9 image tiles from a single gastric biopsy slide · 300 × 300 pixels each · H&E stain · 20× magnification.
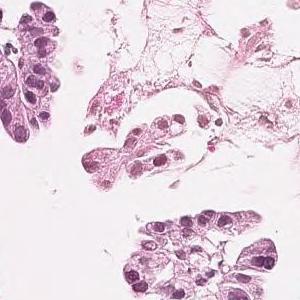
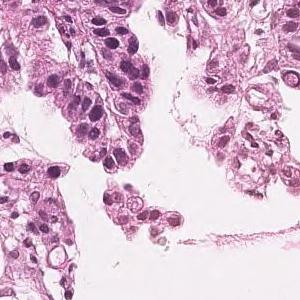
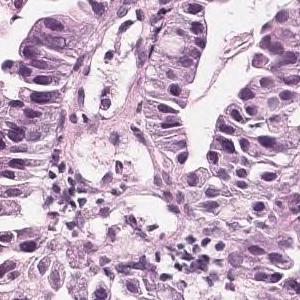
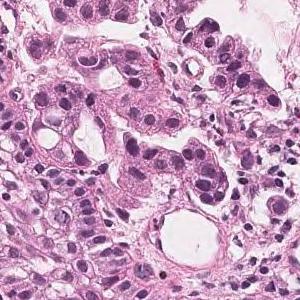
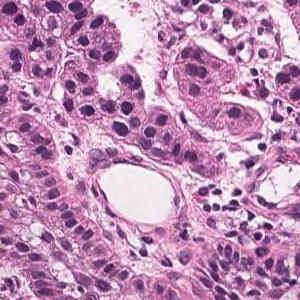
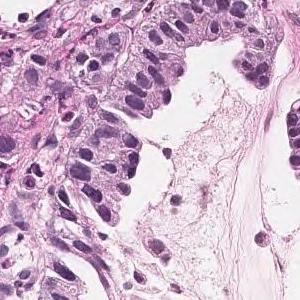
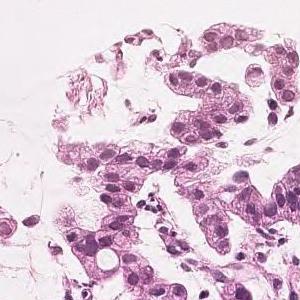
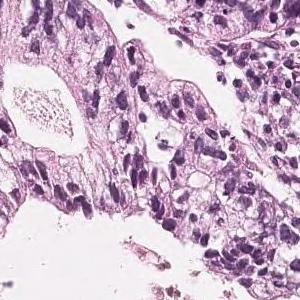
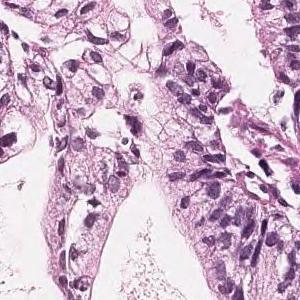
Diagnostic report for the slide these tiles come from. The findings and the diagnosis refer to the entire slide; these tiles show only part of it, possibly with non-tumor tissue, and may not show every feature named.
Tumor cells are large, highly columnar, large club-shaped nuclei, and are associated with chromatin aggregation. Papillary adenocarcinoma.
